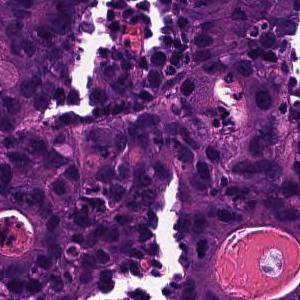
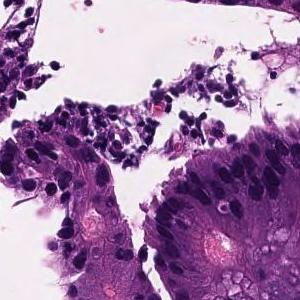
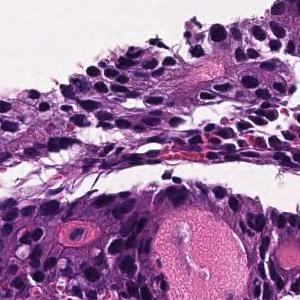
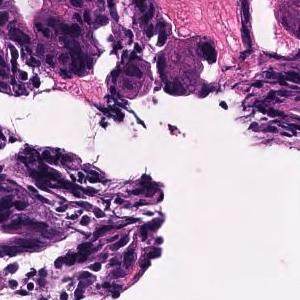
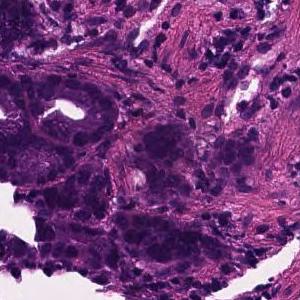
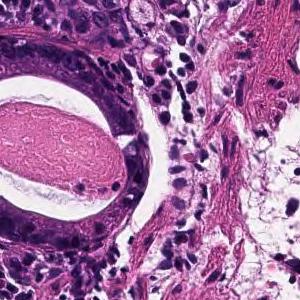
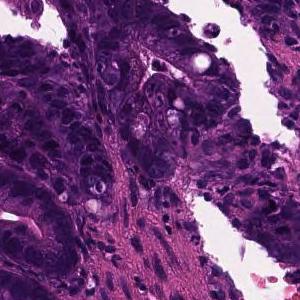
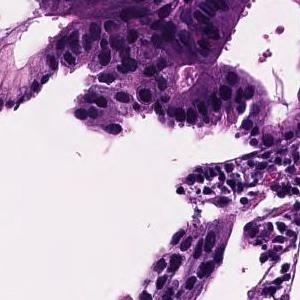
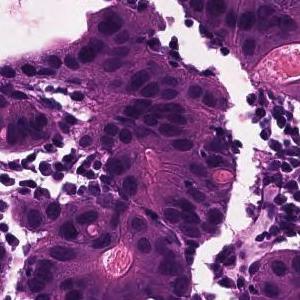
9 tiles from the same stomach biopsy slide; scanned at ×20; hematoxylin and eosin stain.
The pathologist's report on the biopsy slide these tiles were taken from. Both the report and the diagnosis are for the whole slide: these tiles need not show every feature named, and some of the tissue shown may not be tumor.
From the superficial epithelium to the muscularis mucosae, tumor tissue infiltrating by forming medium-sized irregular gland ducts is observed. Large tumor cells exhibit large nucleus and hyperchromatism. Well differentiated tubular adenocarcinoma
